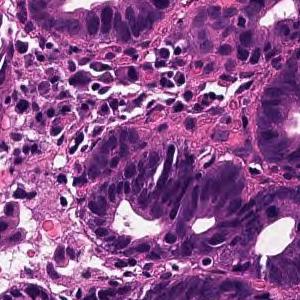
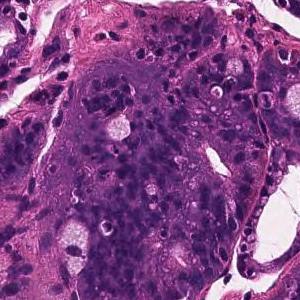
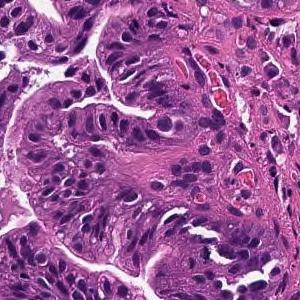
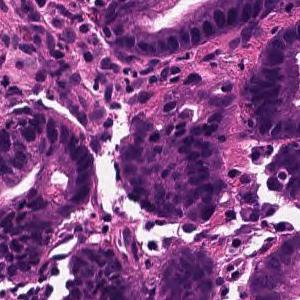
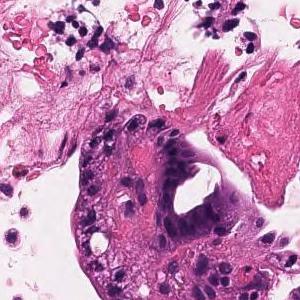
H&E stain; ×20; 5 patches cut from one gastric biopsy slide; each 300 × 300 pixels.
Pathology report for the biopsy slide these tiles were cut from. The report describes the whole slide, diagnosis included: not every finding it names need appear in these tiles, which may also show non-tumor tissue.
On the superficial epithelium, tumor tissue that infiltrates by forming medium-sized papillary or small irregular ducts is observed. Papillary adenocarcinoma
